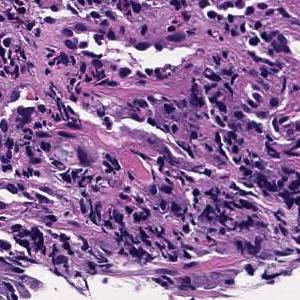
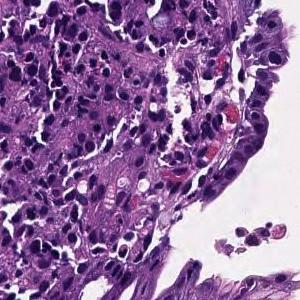
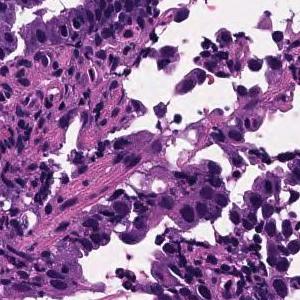
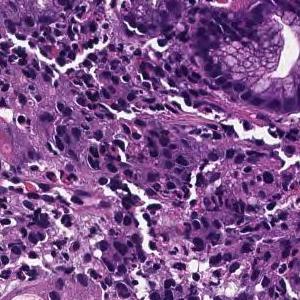
Scanned at ×20 · 4 patches cut from one gastric biopsy slide.
Pathology report for the biopsy slide these tiles were cut from. The report and the diagnosis describe the slide as a whole, so these tiles may not show every feature named and may include non-tumor tissue.
Medium to small, irregular glandular ducts are formed in the superficial epithelium, and in some cases, the glandular ducts are fused to show solid alveolar lesions and infiltrating tumor tissue is observed. Moderately to poorly differentiated adenocarcinoma.
